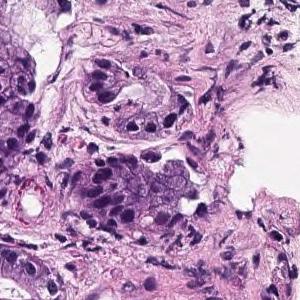
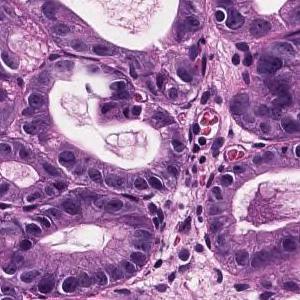
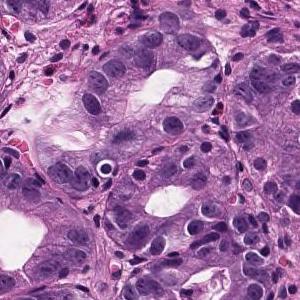
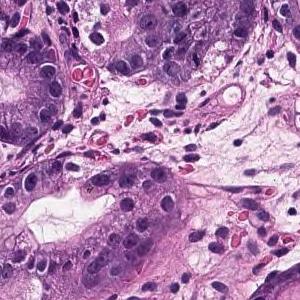
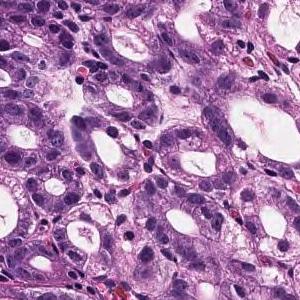
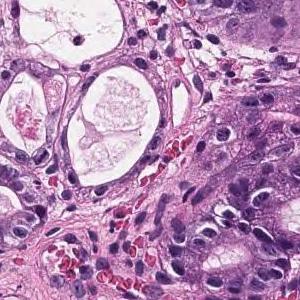
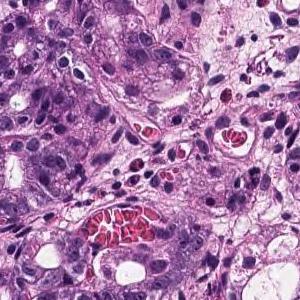
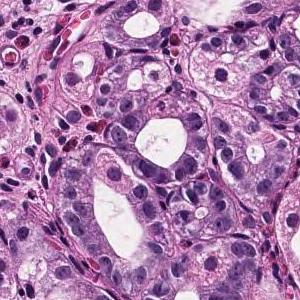
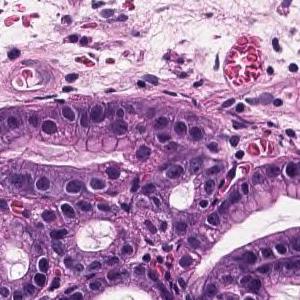
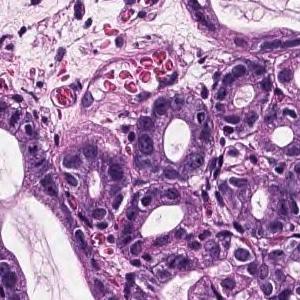
10 patches cut from one gastric biopsy slide, 20× magnification, hematoxylin and eosin stain.
Report on the slide these tiles come from. The report and the diagnosis cover the entire slide, so not every feature they name need be visible here, and some tissue shown may not be tumor.
On the superficial epithelium, tumor tissue that infiltrates by forming medium-sized round or small irregular ducts is observed. Papillary adenocarcinoma
